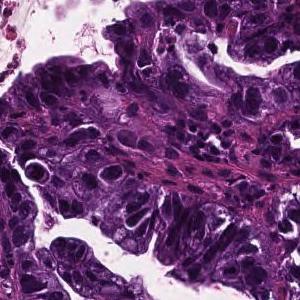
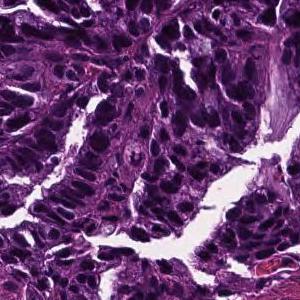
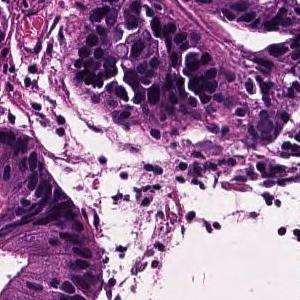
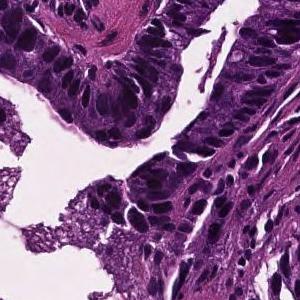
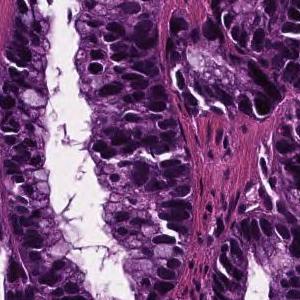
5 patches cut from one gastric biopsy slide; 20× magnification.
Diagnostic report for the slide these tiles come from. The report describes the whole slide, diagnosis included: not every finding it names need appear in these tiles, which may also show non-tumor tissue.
In the superficial epithelium, tumor tissue that invades by forming medium-sized to small, irregular ducts is observed. Well differentiated tubular adenocarcinoma.
